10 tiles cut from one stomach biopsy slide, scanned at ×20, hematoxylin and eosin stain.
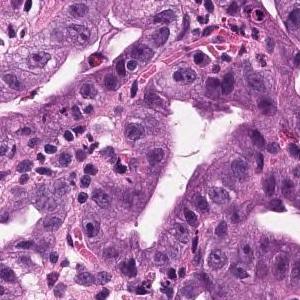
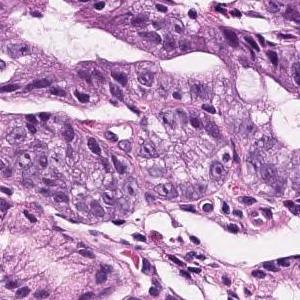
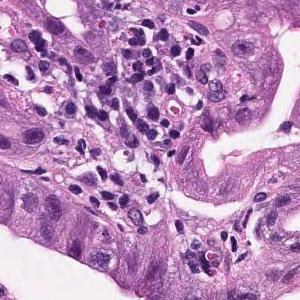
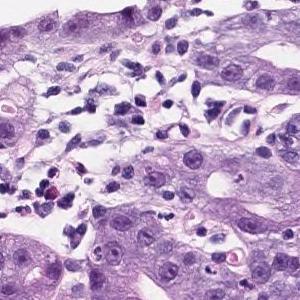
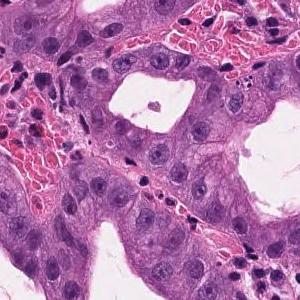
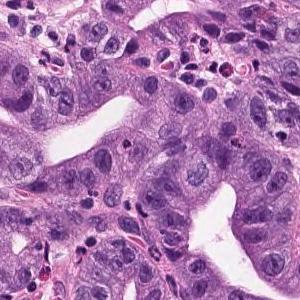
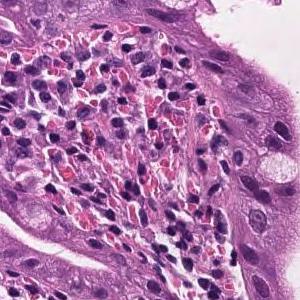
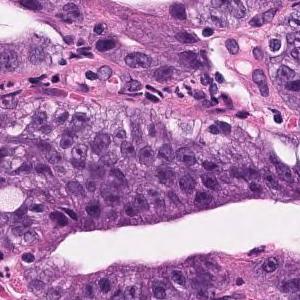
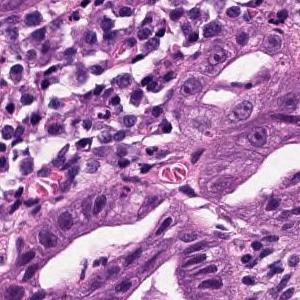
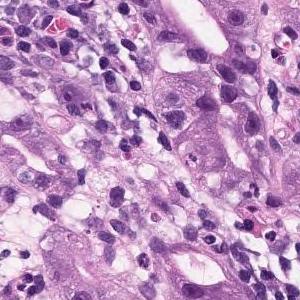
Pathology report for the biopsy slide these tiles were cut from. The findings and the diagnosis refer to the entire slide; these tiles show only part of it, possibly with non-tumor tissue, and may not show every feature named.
In the superficial epithelium, tumor tissue that invades by forming medium-sized to small, irregular ducts is observed. Well to moderately differentiated adenocarcinoma (well differentiated tubular adenocarcinoma, moderately differentiated tubular adenocarcinoma).
Classified as well to moderately differentiated tubular adenocarcinoma.
